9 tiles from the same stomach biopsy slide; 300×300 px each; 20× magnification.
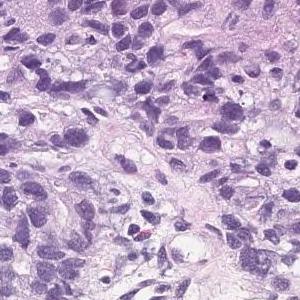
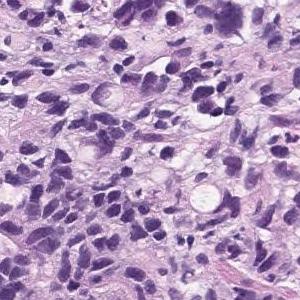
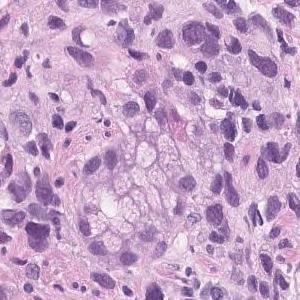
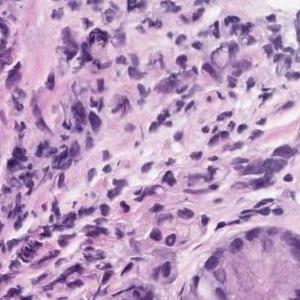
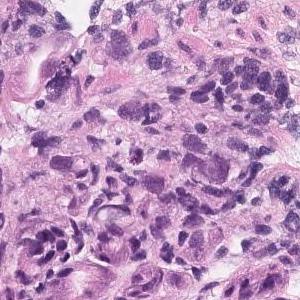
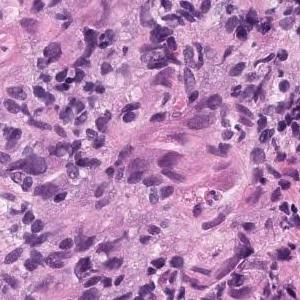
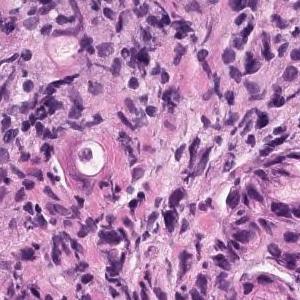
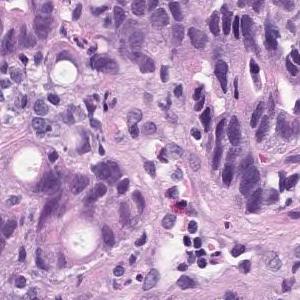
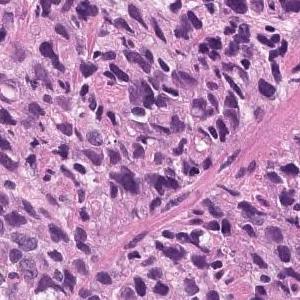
Diagnostic report for the slide these tiles come from. The findings and the diagnosis refer to the entire slide; these tiles show only part of it, possibly with non-tumor tissue, and may not show every feature named.
Tumor tissue consisting of medium-sized, cord-like or irregular glandular infiltration is observed in the superficial epithelium. Poorly differentiated adenocarcinoma, non-solid type or moderately differentiated tubular adenocarcinoma
The dataset labels this slide poorly differentiated adenocarcinoma, non-solid type.
"Non-solid type" is a category of the Japanese Classification of Gastric Carcinoma.
